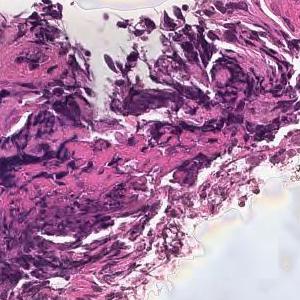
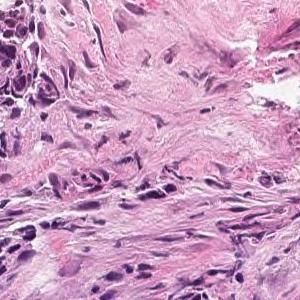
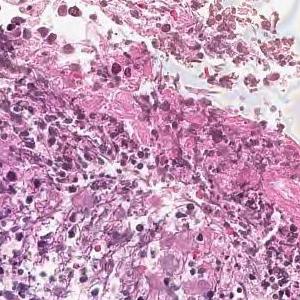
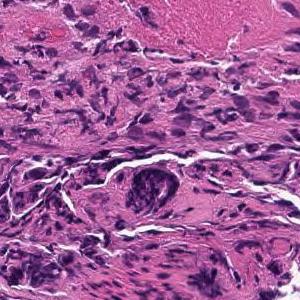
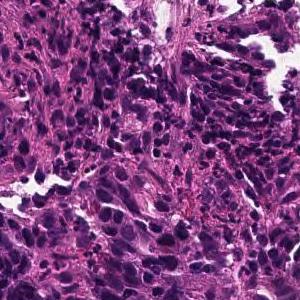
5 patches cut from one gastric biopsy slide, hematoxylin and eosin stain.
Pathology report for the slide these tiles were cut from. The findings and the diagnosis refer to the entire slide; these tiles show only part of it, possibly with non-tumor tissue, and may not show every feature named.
In the superficial epithelium, tumor tissue that invades by forming medium-sized to small, irregular ducts is observed. moderately differentiated tubular adenocarcinoma.
